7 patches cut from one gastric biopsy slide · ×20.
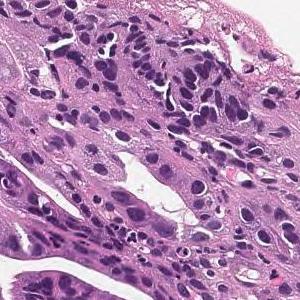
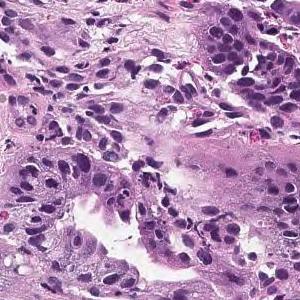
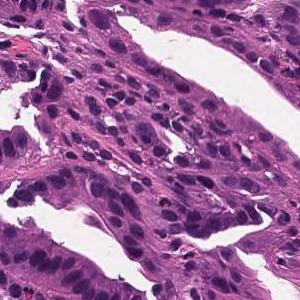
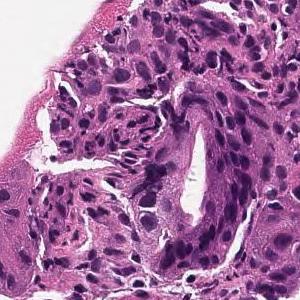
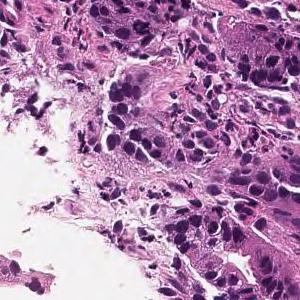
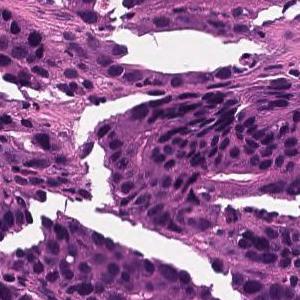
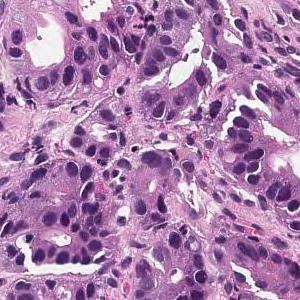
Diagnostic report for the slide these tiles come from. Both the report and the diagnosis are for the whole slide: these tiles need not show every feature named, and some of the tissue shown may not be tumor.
From the superficial epithelium to the muscularis mucosae, tumor tissue consisting of medium-sized and irregular glandular ducts infiltrating is observed. Well differentiated tubular adenocarcinoma
